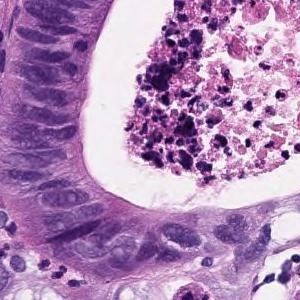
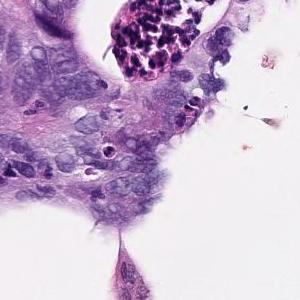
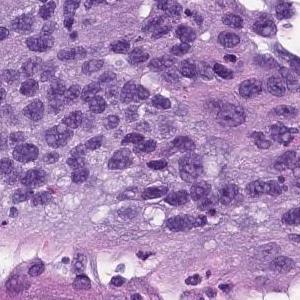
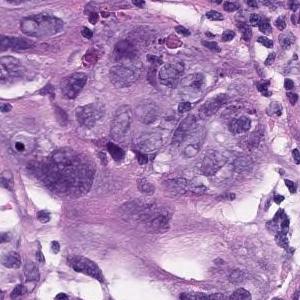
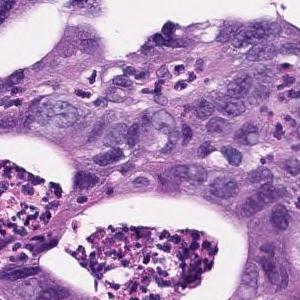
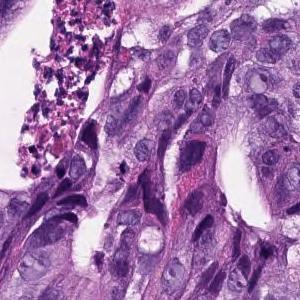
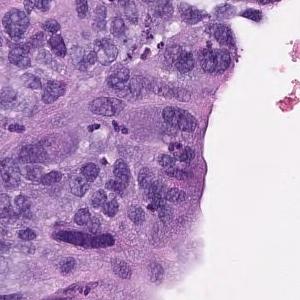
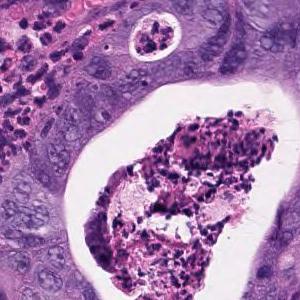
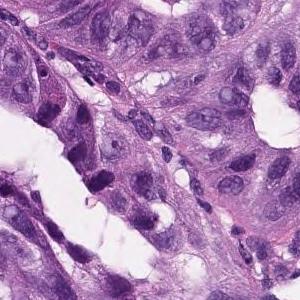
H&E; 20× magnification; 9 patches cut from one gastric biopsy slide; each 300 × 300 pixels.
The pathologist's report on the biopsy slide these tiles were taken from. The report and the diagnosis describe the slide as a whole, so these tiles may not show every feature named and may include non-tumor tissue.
In the superficial epithelium, tumor tissue that invades by forming medium-sized to small, irregular ducts is observed. Moderately differentiated adenocarcinoma.
Classified as moderately differentiated tubular adenocarcinoma.
